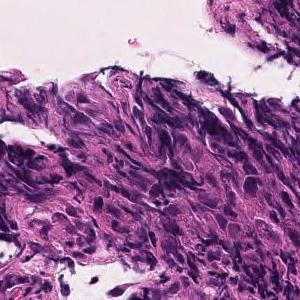
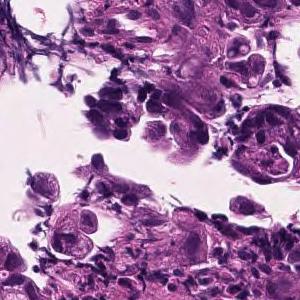
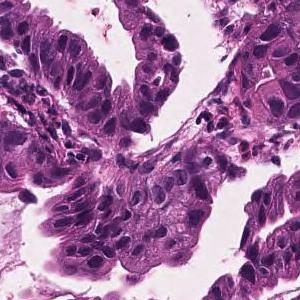
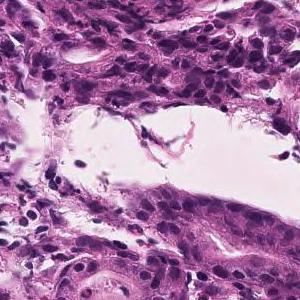
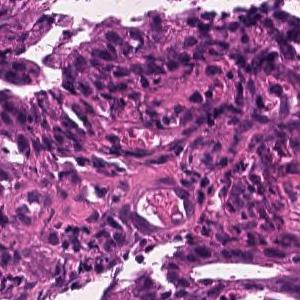
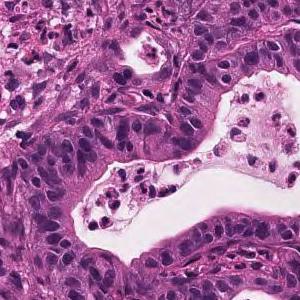
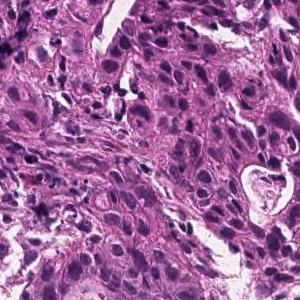
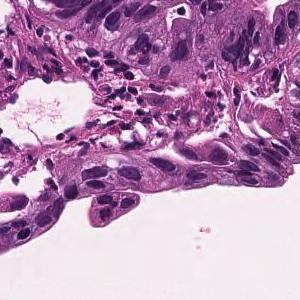
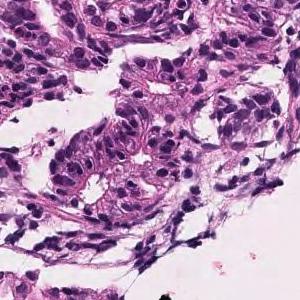
H&E; 9 patches cut from one gastric biopsy slide; 300×300 px each.
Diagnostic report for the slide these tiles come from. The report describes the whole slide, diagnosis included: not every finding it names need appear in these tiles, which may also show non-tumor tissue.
Tumor tissue consisting of medium-sized, cord-like or irregular glandular infiltration is observed in the superficial epithelium. Poorly differentiated adenocarcinoma, non-solid type or moderately differentiated tubular adenocarcinoma
The term "non-solid type" comes from the Japanese Classification of Gastric Carcinoma.
